8 tiles from the same stomach biopsy slide · 300 × 300 pixels each · H&E stain.
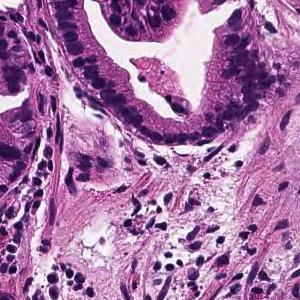
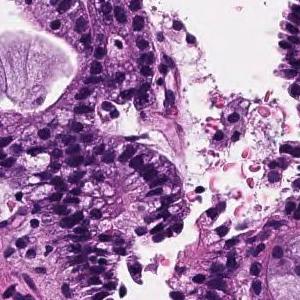
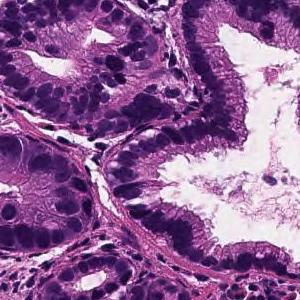
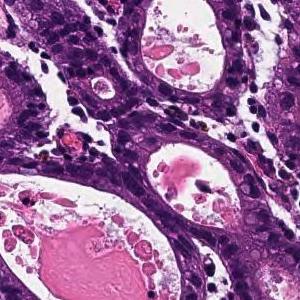
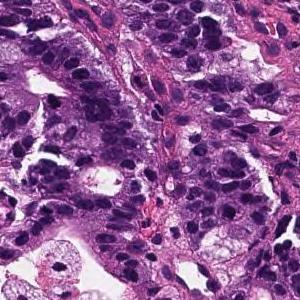
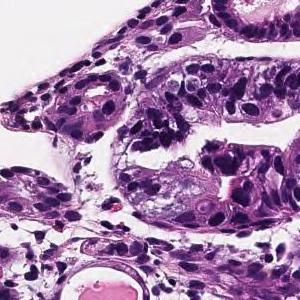
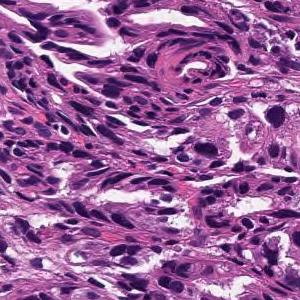
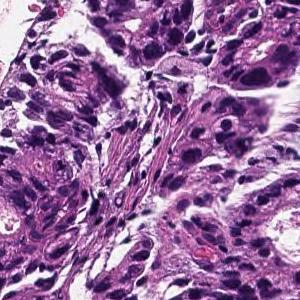
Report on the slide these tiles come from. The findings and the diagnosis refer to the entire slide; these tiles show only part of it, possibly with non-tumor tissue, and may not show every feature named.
From the superficial epithelium to the muscularis mucosae, tumor tissue consisting of medium-sized and irregular glandular ducts infiltrating is observed. Well differentiated tubular adenocarcinoma
